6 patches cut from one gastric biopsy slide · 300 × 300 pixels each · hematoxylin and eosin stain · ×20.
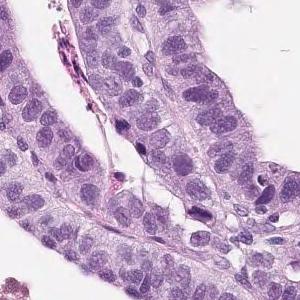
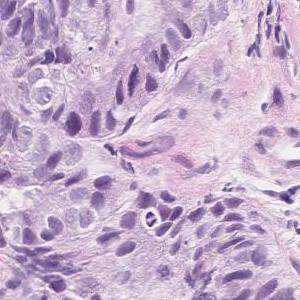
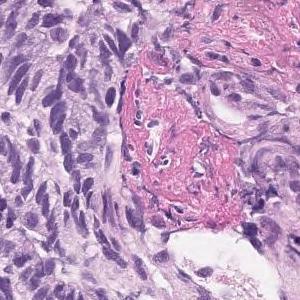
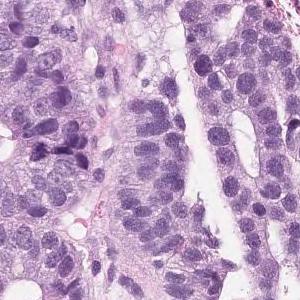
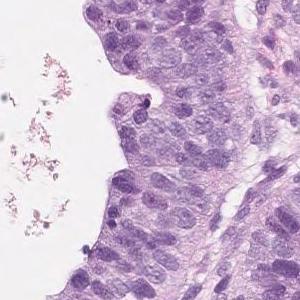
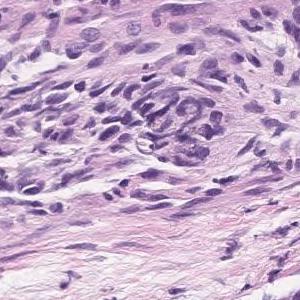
The pathologist's report on the biopsy slide these tiles were taken from. What the report and the diagnosis say applies to the whole slide; these tiles may miss some of the features named and may include tissue that is not tumor.
Tumor tissue in which highly columnar atypical epithelial cells with nuclear enlargement and increased nuclear chromatin show papillary to papillary ductal structure and proliferate is observed. Papillary adenocarcinoma.
